8 image tiles from a single gastric biopsy slide, each 300 × 300 pixels.
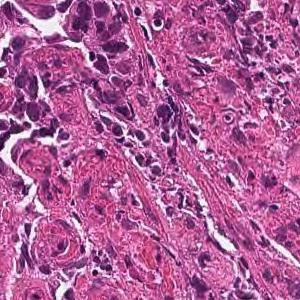
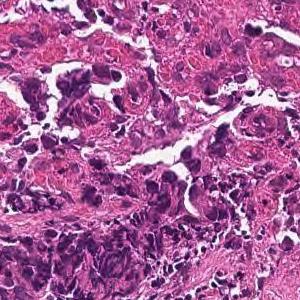
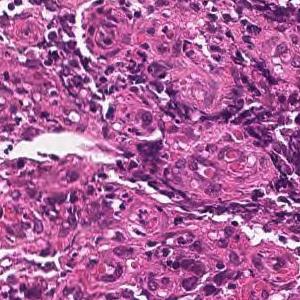
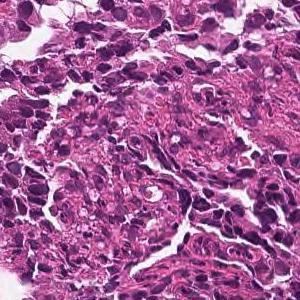
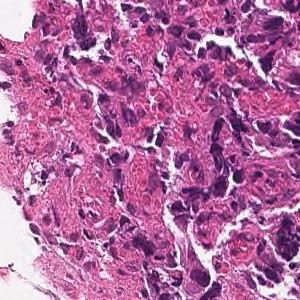
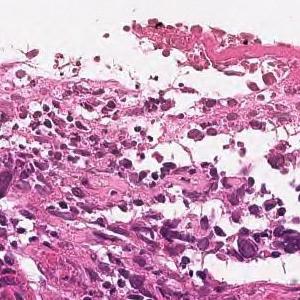
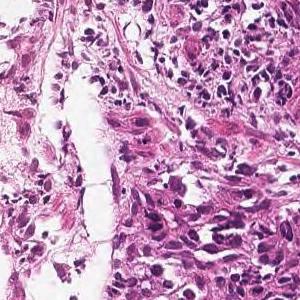
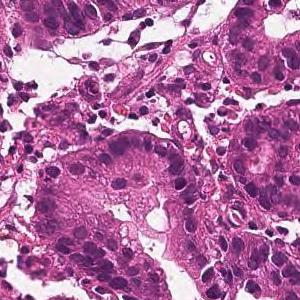
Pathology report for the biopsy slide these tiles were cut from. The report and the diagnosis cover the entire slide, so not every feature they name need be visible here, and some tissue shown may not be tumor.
Tumor tissue consisting of medium-sized, cord-like or irregular glandular infiltration is observed in the superficial epithelium. Poorly differentiated adenocarcinoma, non-solid type or moderately differentiated tubular adenocarcinoma
Tumor subtype: moderately to poorly differentiated adenocarcinoma.
The term "non-solid type" comes from the Japanese Classification of Gastric Carcinoma.
